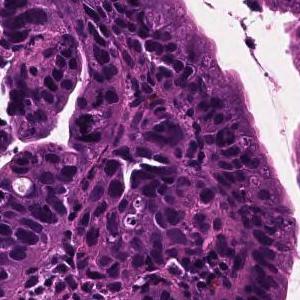
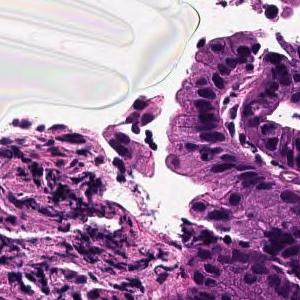
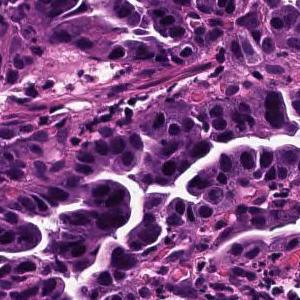
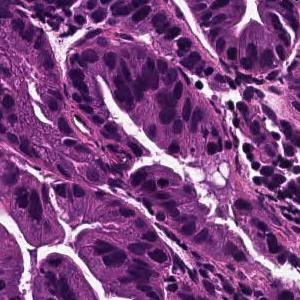
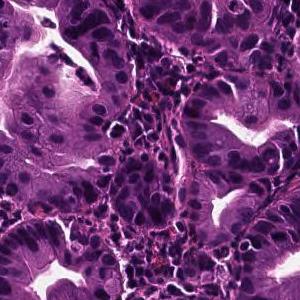
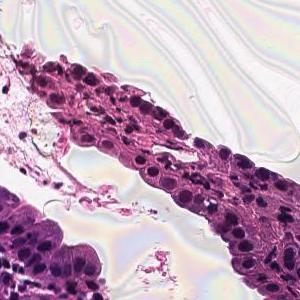
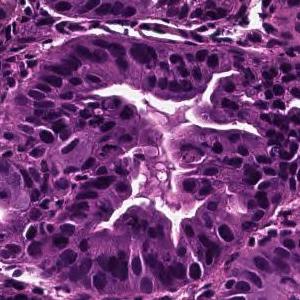
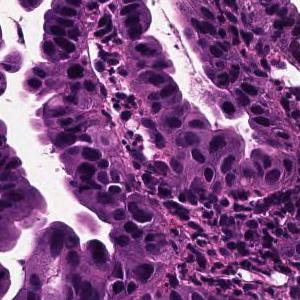
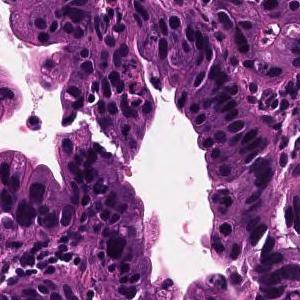
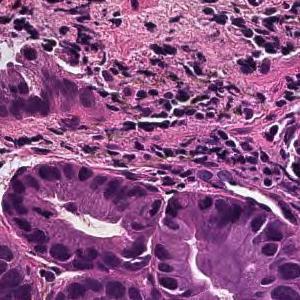
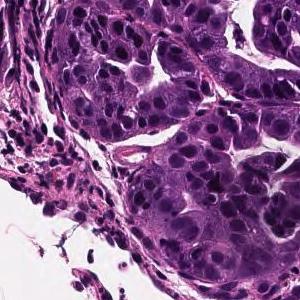
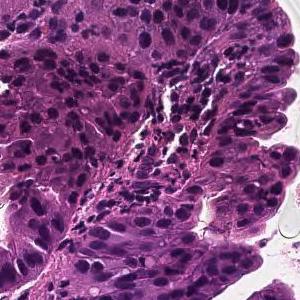
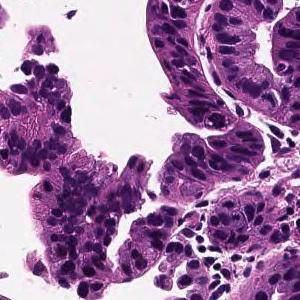
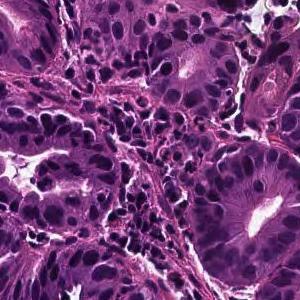
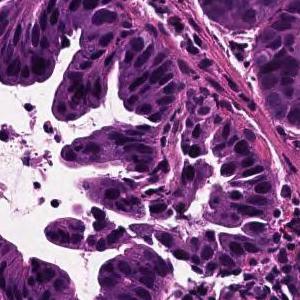
H&E, 20× magnification, 15 tiles from the same stomach biopsy slide, 300 × 300 pixels each.
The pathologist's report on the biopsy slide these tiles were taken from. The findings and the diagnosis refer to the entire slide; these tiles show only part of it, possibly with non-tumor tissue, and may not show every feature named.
Tumor cells are large, highly columnar, large club-shaped nuclei, and are associated with chromatin aggregation. Papillary adenocarcinoma.
